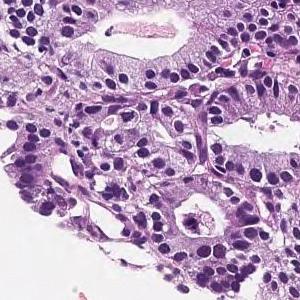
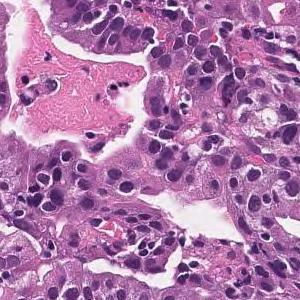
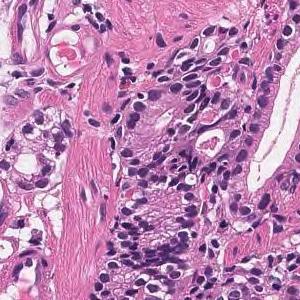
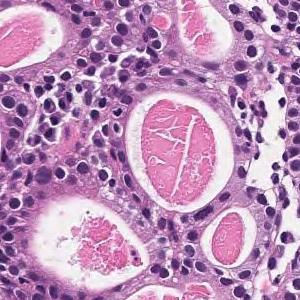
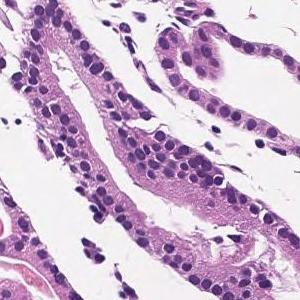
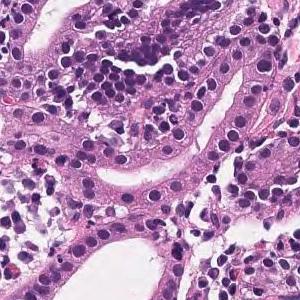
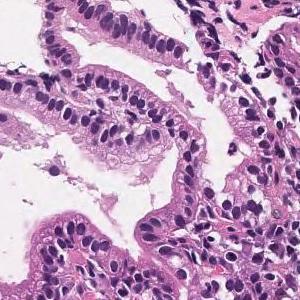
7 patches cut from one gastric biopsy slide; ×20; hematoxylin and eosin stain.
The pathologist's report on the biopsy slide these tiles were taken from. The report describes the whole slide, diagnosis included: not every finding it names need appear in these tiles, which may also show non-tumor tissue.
Medium to small, irregular glandular ducts are formed in the superficial epithelium, and in some cases, the glandular ducts are fused to show solid alveolar lesions and infiltrating tumor tissue is observed. Moderately to poorly differentiated adenocarcinoma.
